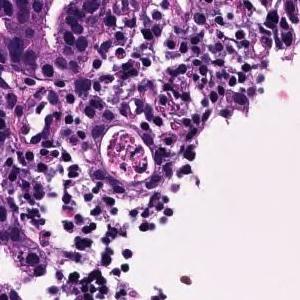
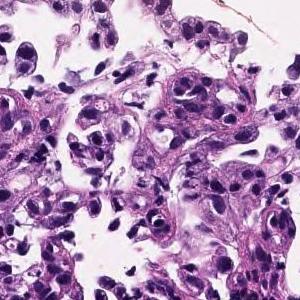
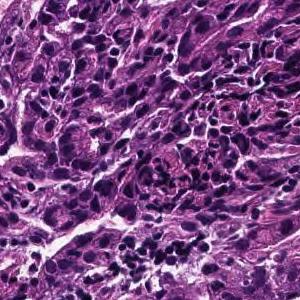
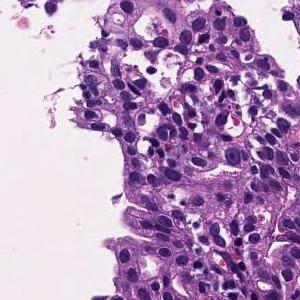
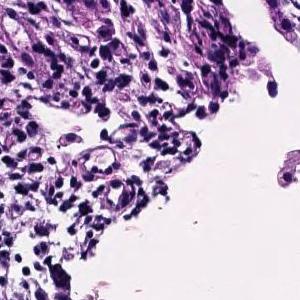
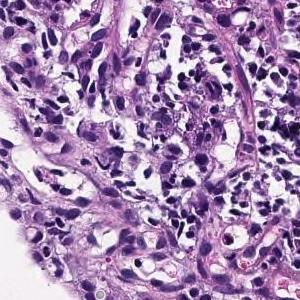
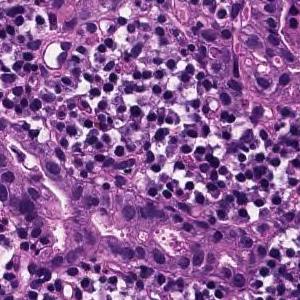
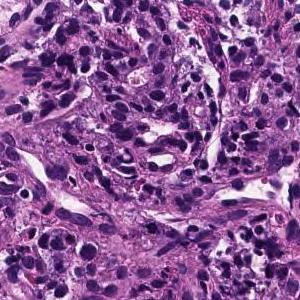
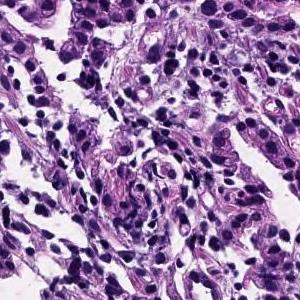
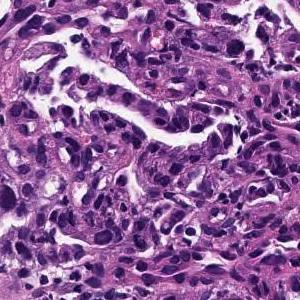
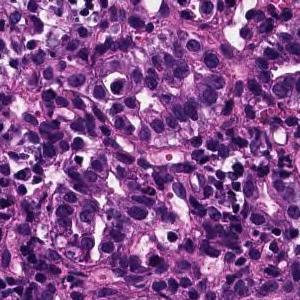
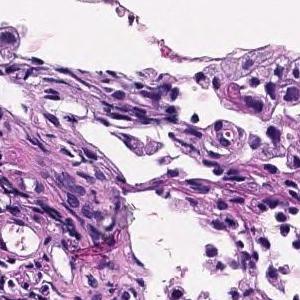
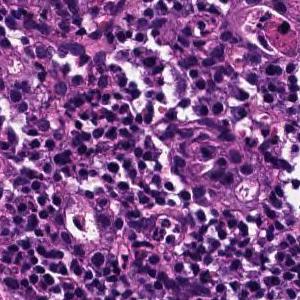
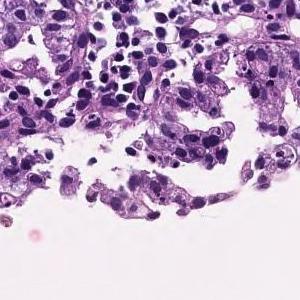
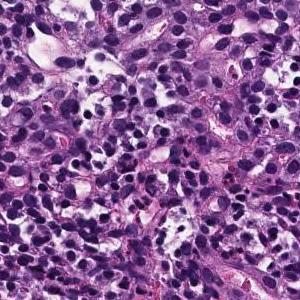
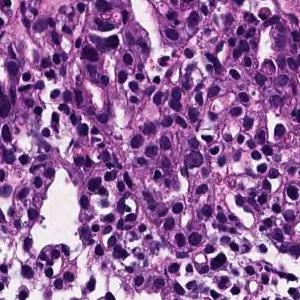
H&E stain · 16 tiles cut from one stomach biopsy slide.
Diagnostic report for the slide these tiles come from. Both the report and the diagnosis are for the whole slide: these tiles need not show every feature named, and some of the tissue shown may not be tumor.
Medium to small, irregular glandular ducts are formed in the superficial epithelium, and in some cases, the glandular ducts are fused to show solid alveolar lesions and infiltrating tumor tissue is observed. Moderately to poorly differentiated adenocarcinoma.
